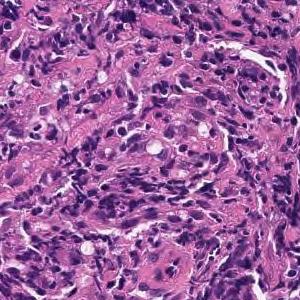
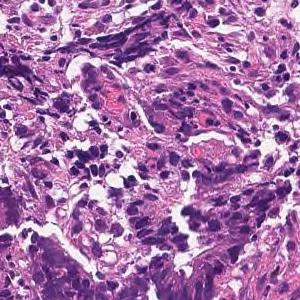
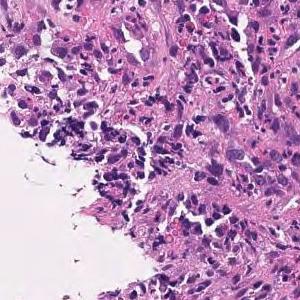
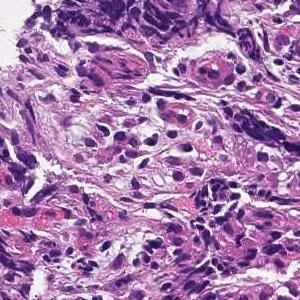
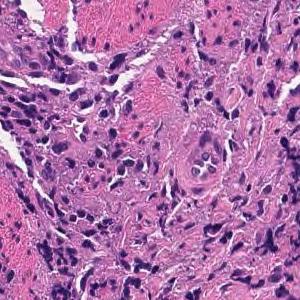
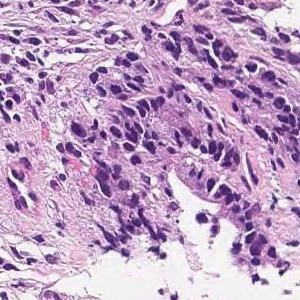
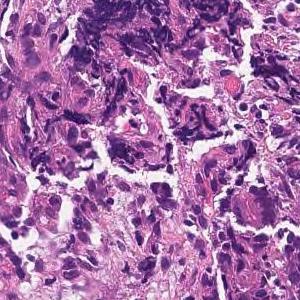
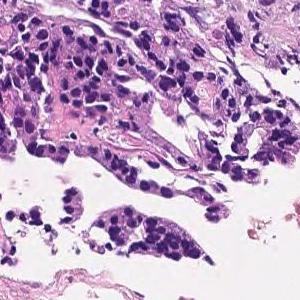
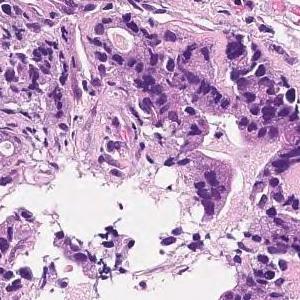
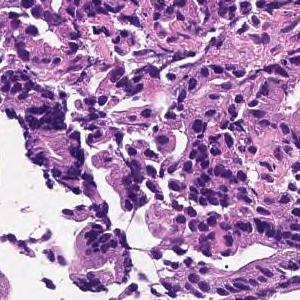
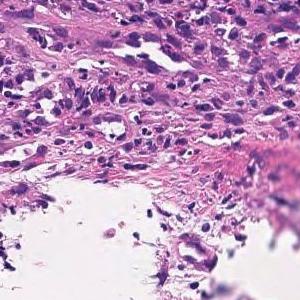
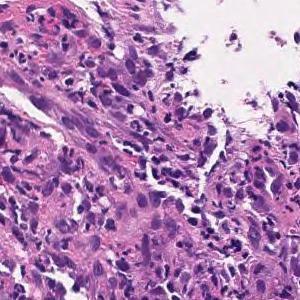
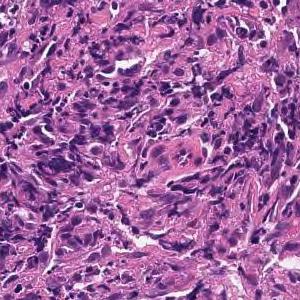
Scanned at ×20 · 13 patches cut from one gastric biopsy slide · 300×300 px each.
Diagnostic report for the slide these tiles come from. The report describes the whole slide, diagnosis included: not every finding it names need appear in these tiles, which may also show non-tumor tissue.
Tumor tissue consisting of medium-sized, cord-like or irregular glandular infiltration is observed in the superficial epithelium. Poorly differentiated adenocarcinoma, non-solid type or moderately differentiated tubular adenocarcinoma
Classified as moderately to poorly differentiated adenocarcinoma.
"Non-solid type" is a category of the Japanese Classification of Gastric Carcinoma.
